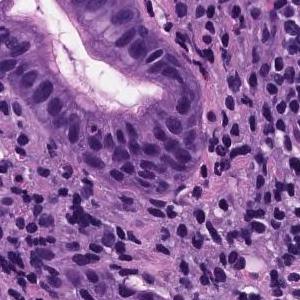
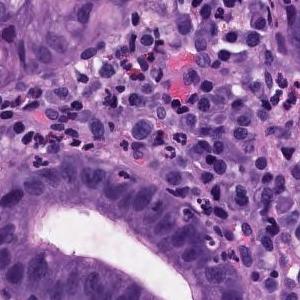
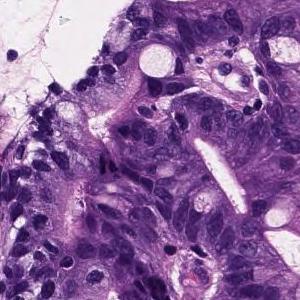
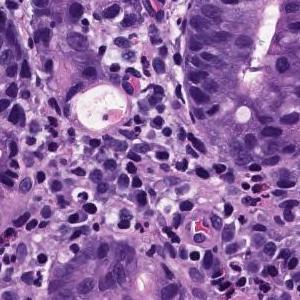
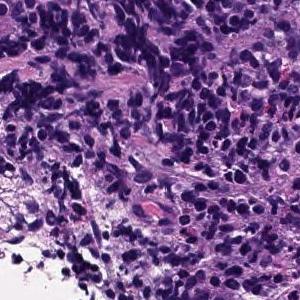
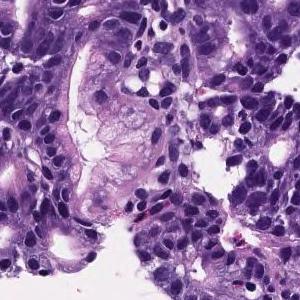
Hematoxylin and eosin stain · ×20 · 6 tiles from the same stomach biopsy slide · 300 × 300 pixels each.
Diagnostic report for the slide these tiles come from. The findings and the diagnosis refer to the entire slide; these tiles show only part of it, possibly with non-tumor tissue, and may not show every feature named.
Medium to small, irregular glandular ducts are formed in the superficial epithelium, and in some cases, the glandular ducts are fused to show solid alveolar lesions and infiltrating tumor tissue is observed. Moderately to poorly differentiated adenocarcinoma.
